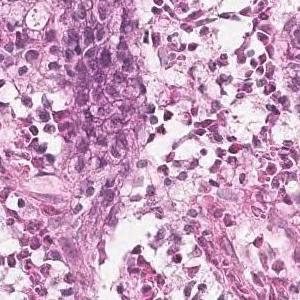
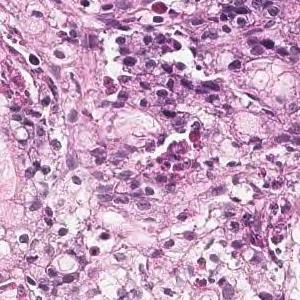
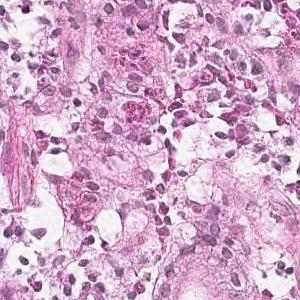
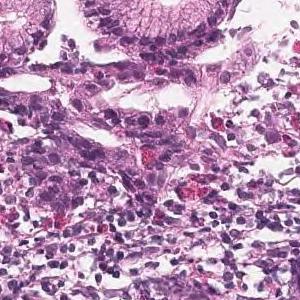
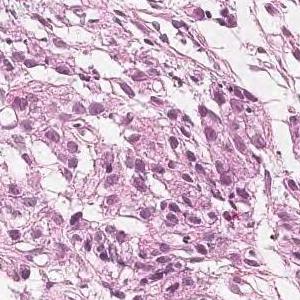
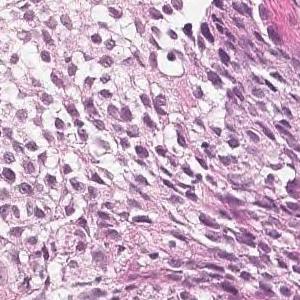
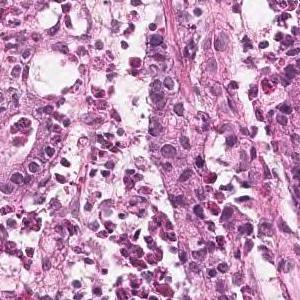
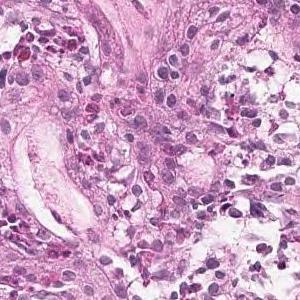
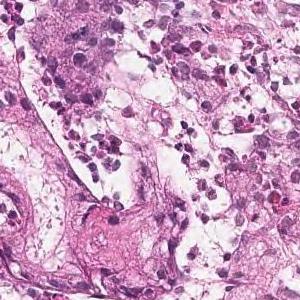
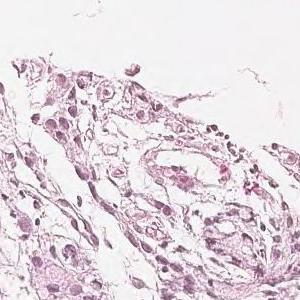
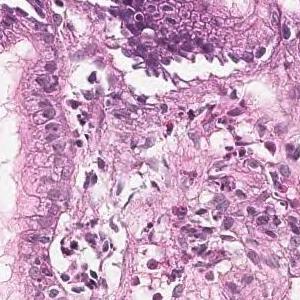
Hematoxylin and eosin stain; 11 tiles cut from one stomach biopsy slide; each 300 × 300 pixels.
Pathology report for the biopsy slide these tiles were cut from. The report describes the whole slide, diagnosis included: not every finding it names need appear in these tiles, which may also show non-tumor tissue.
Tumor tissue consisting of medium-sized, cord-like or irregular glandular infiltration is observed in the superficial epithelium. Poorly differentiated adenocarcinoma, non-solid type or moderately differentiated tubular adenocarcinoma
"Non-solid type" is a category of the Japanese Classification of Gastric Carcinoma.
